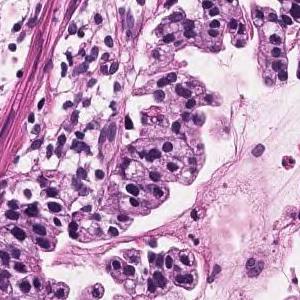
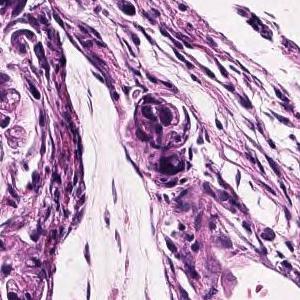
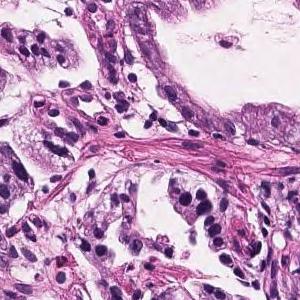
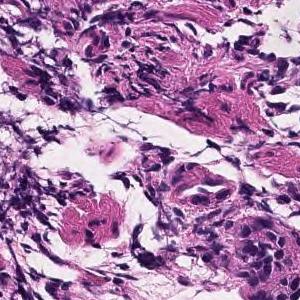
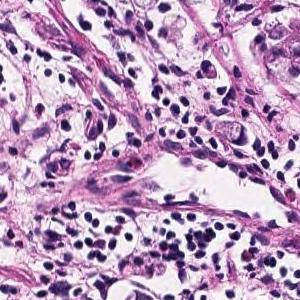
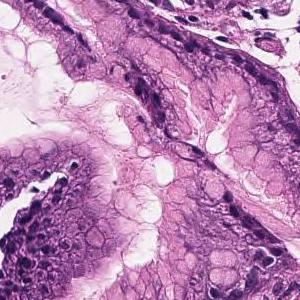
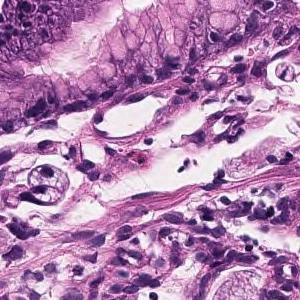
7 patches cut from one gastric biopsy slide · each 300 × 300 pixels · hematoxylin and eosin stain.
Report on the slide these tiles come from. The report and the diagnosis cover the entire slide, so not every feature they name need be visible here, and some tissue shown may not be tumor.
Tumor tissue consisting of large papillary structures or irregular glandular ducts partially fused and infiltrated is observed in the superficial epithelium. Well to moderately differentiated tubular adenocarcinoma.
The dataset labels this slide moderately differentiated tubular adenocarcinoma.
